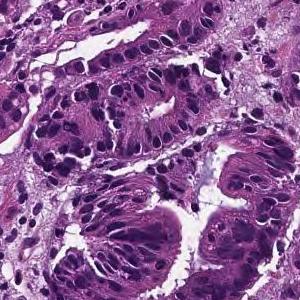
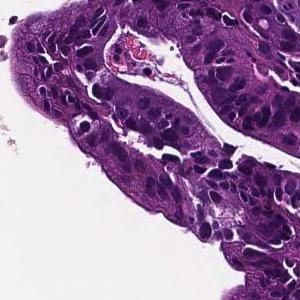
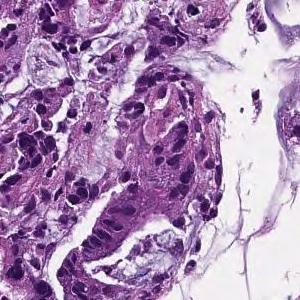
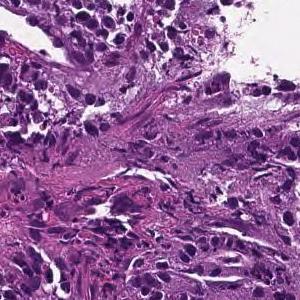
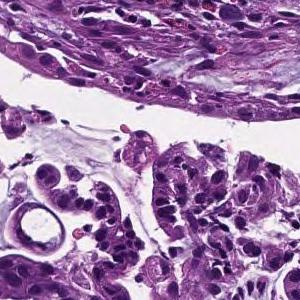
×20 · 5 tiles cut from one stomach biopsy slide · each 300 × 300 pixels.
The pathologist's report on the biopsy slide these tiles were taken from. The report and the diagnosis describe the slide as a whole, so these tiles may not show every feature named and may include non-tumor tissue.
On the superficial epithelium, tumor tissue consisting of large irregular glandular ducts partially fused and infiltrated is observed. Well to moderately differentiated tubular adenocarcinoma (well differentiated tubular adenocarcinoma, moderately differentiated tubular adenocarcinoma)
Subtype: Well to moderately differentiated tubular adenocarcinoma.
